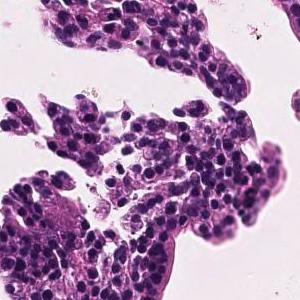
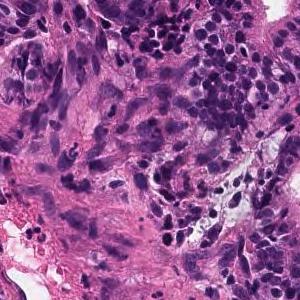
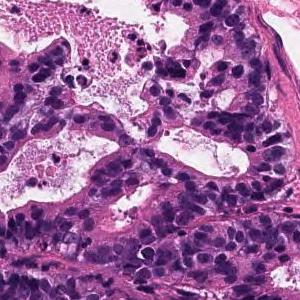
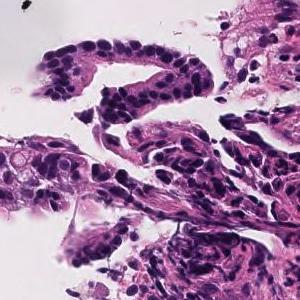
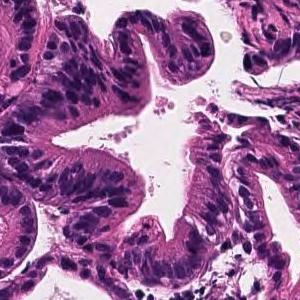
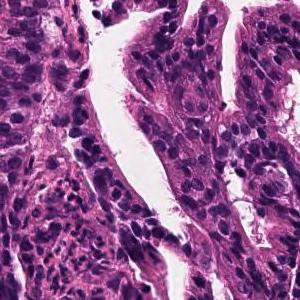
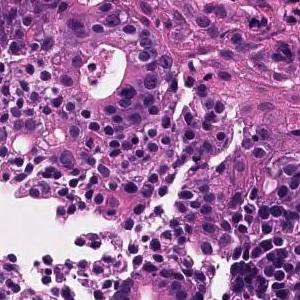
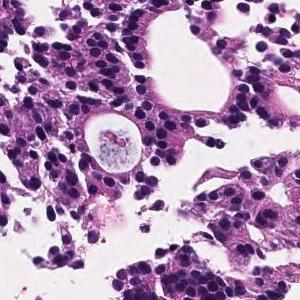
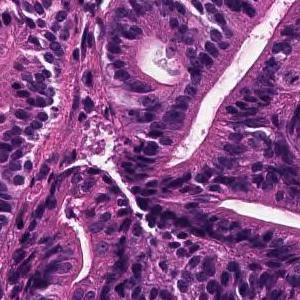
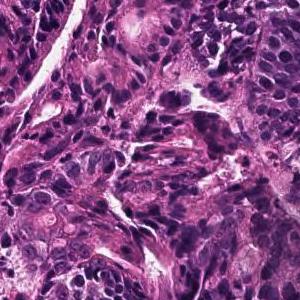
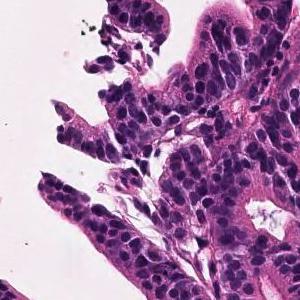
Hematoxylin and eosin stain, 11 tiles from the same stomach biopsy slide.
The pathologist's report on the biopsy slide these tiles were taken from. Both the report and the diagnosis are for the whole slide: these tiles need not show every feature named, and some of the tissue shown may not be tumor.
In the superficial epithelium, tumor tissue that invades by forming medium-sized to small, irregular ducts is observed. Moderately differentiated adenocarcinoma.
Subtype: Moderately differentiated tubular adenocarcinoma.
